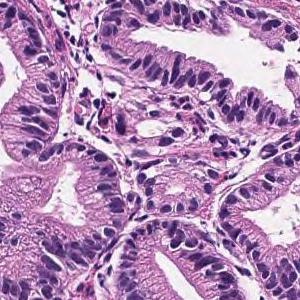
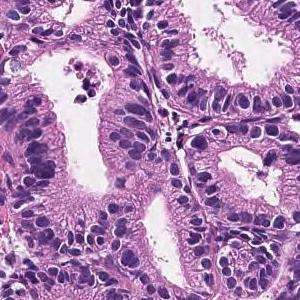
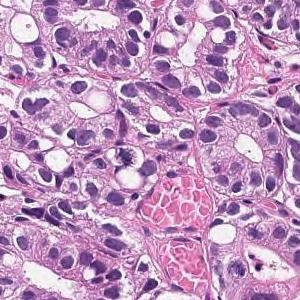
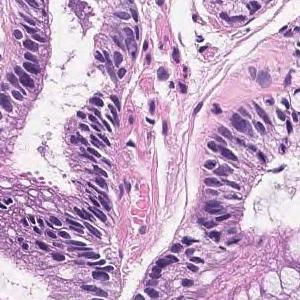
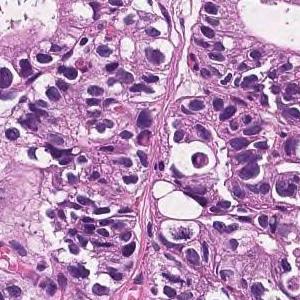
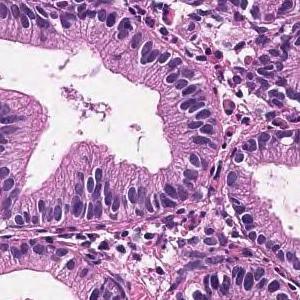
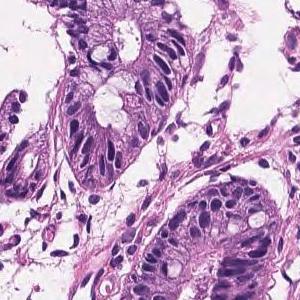
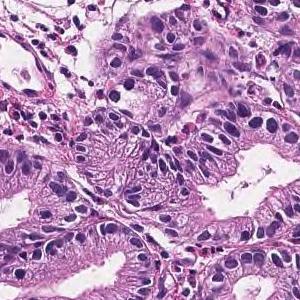
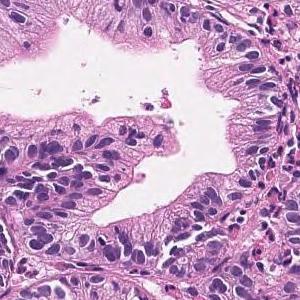
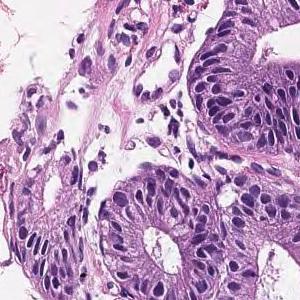
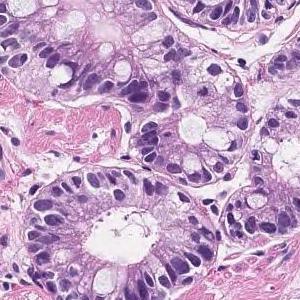
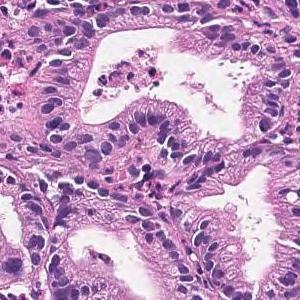
H&E stain; 12 patches cut from one gastric biopsy slide; 300×300 px each.
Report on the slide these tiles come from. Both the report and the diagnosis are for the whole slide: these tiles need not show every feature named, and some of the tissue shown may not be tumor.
In the superficial epithelium, tumor tissue that invades by forming medium-sized to small, irregular ducts is observed. Well differentiated tubular adenocarcinoma.
